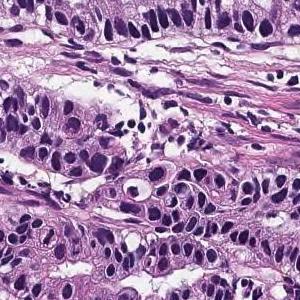
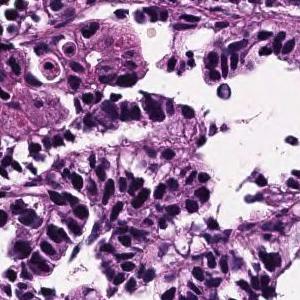
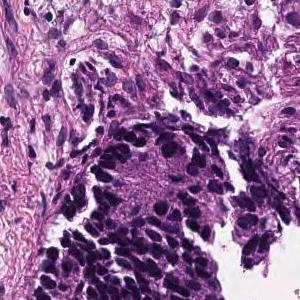
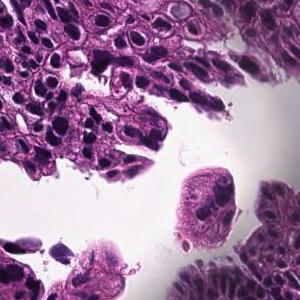
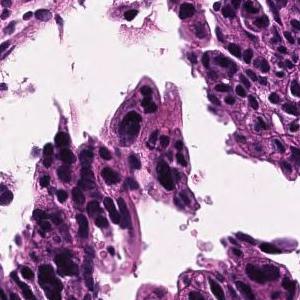
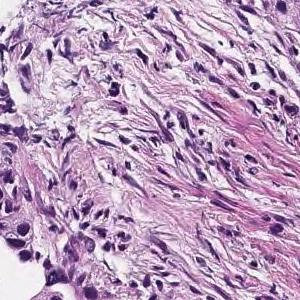
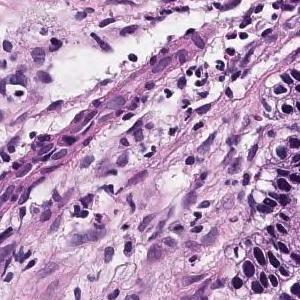
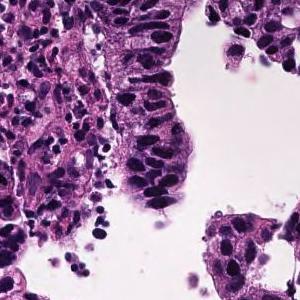
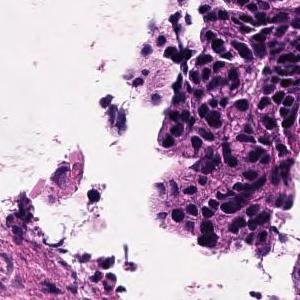
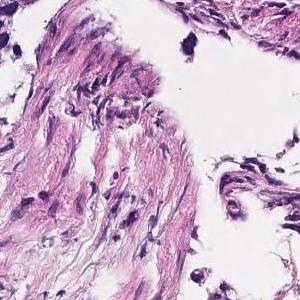
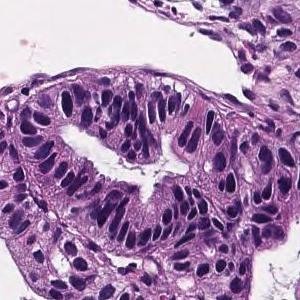
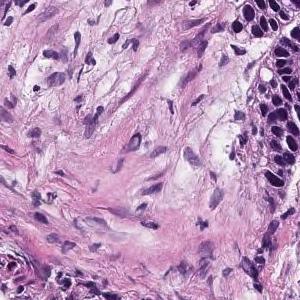
12 image tiles from a single gastric biopsy slide, 20× magnification.
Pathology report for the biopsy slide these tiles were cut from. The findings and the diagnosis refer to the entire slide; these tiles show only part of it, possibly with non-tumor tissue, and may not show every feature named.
Tumor cells are large, highly columnar, large club-shaped nuclei, and are associated with chromatin aggregation. Papillary adenocarcinoma.
